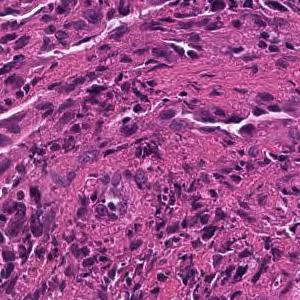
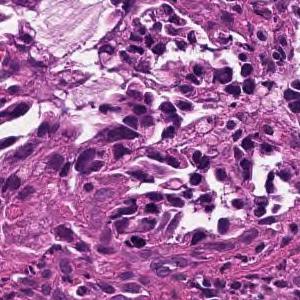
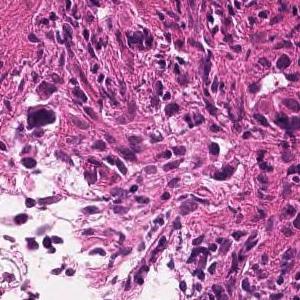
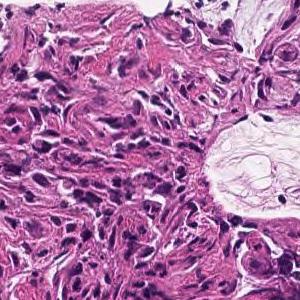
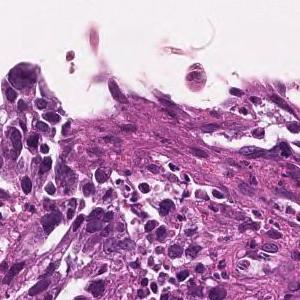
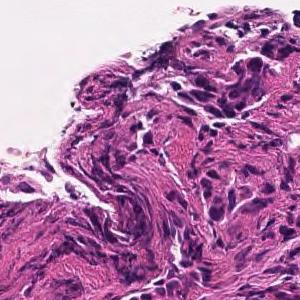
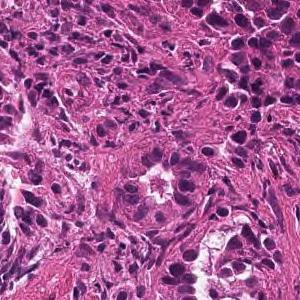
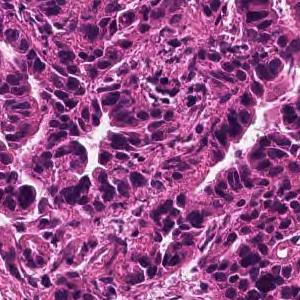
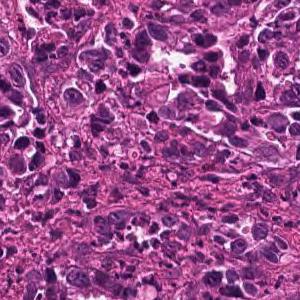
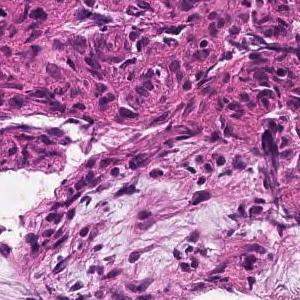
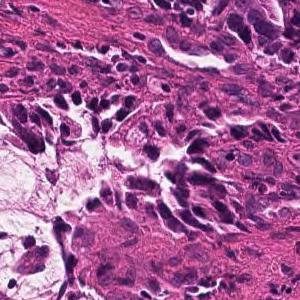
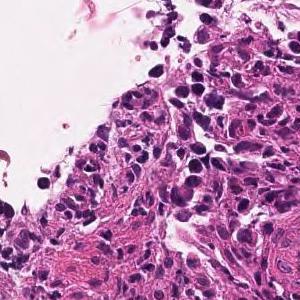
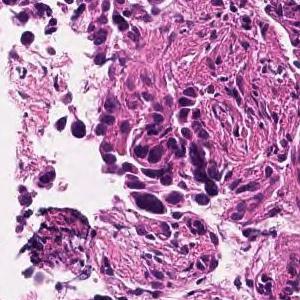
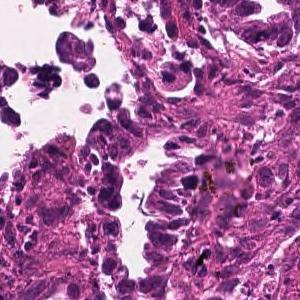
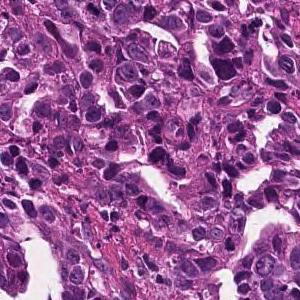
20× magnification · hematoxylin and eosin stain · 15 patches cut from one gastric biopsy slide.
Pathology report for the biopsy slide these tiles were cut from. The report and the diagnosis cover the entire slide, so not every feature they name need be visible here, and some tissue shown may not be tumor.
In the superficial epithelium, tumor tissue that invades by forming medium-sized to small, irregular ducts is observed. moderately differentiated tubular adenocarcinoma.
